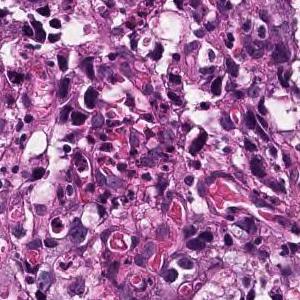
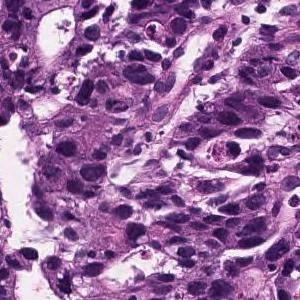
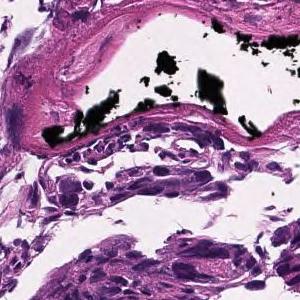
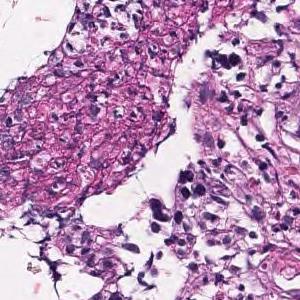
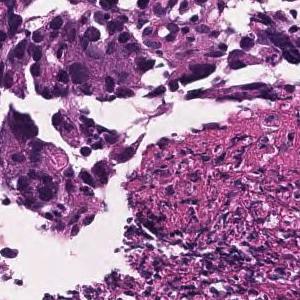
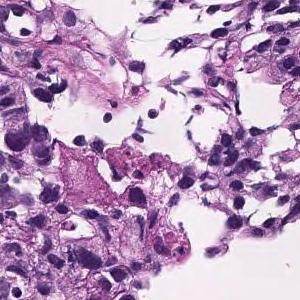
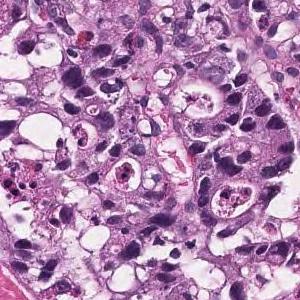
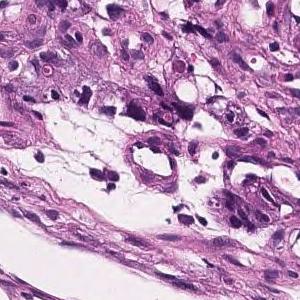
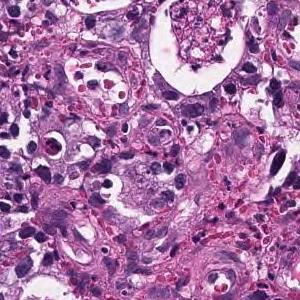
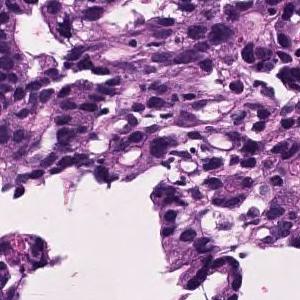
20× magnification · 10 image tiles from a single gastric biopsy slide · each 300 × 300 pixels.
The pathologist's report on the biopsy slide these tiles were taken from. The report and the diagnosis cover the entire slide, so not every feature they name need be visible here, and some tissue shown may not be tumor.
Tumor tissue consisting of medium-sized, cord-like or irregular glandular infiltration is observed in the superficial epithelium. Poorly differentiated adenocarcinoma, non-solid type or moderately differentiated tubular adenocarcinoma
The term "non-solid type" comes from the Japanese Classification of Gastric Carcinoma.
